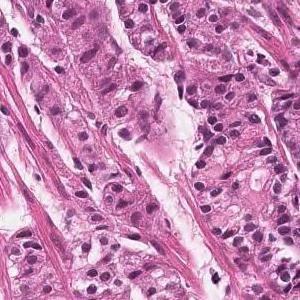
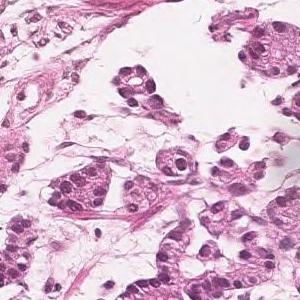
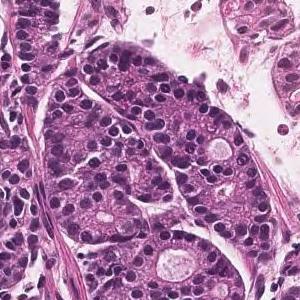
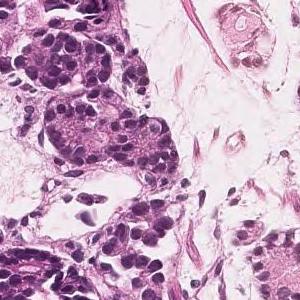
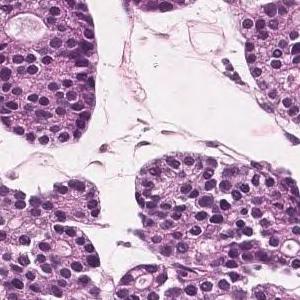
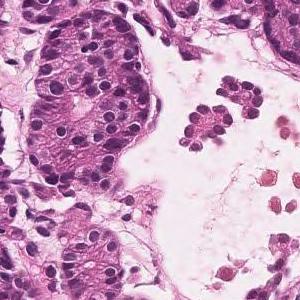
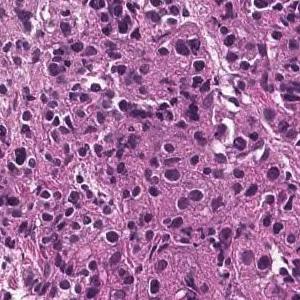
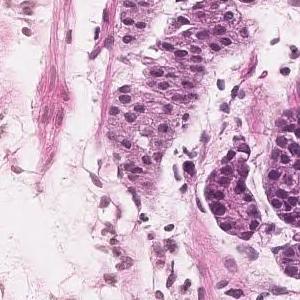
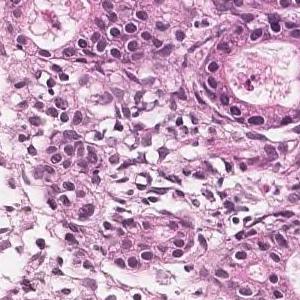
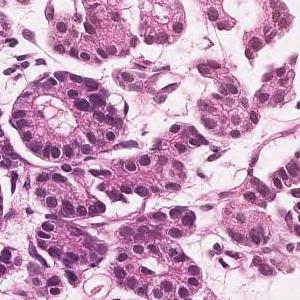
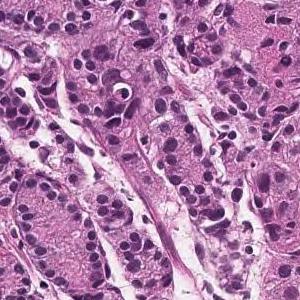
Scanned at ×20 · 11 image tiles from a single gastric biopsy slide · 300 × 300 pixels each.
Pathology report for the slide these tiles were cut from. The findings and the diagnosis refer to the entire slide; these tiles show only part of it, possibly with non-tumor tissue, and may not show every feature named.
In the superficial epithelium, tumor tissue that invades by forming medium-sized to small, irregular ducts is observed. Moderately differentiated adenocarcinoma.
Classified as moderately differentiated tubular adenocarcinoma.
